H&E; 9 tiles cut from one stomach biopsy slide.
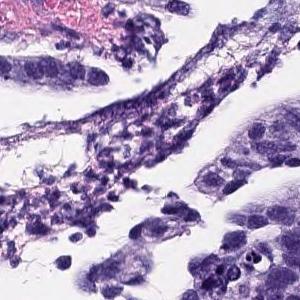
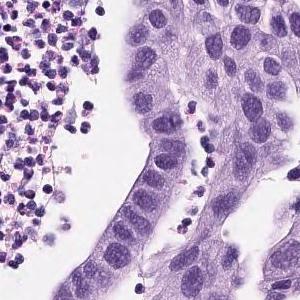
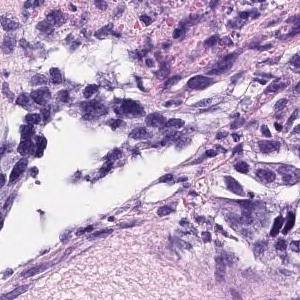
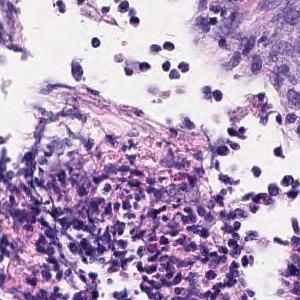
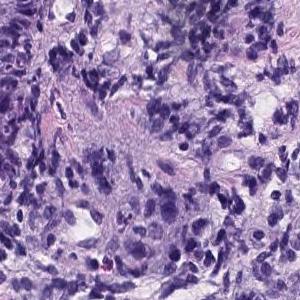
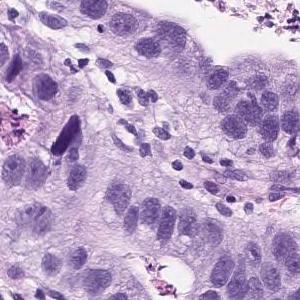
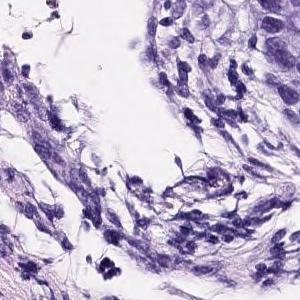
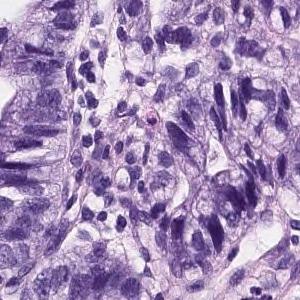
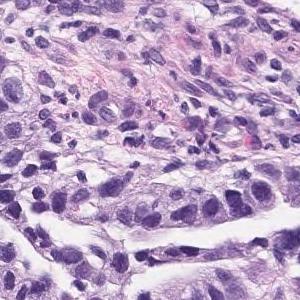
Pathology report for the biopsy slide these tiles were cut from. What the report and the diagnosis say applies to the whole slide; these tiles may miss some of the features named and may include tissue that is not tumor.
On the superficial epithelium, tumor tissue consisting of medium to small irregular tubules partially fused and proliferated is observed. moderately differentiated tubular adenocarcinoma
